Hematoxylin and eosin stain · 20× magnification · 14 tiles from the same stomach biopsy slide · 300 × 300 pixels each.
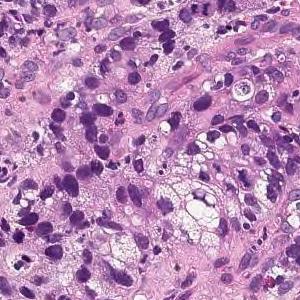
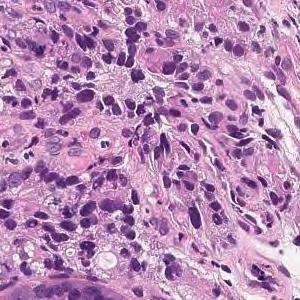
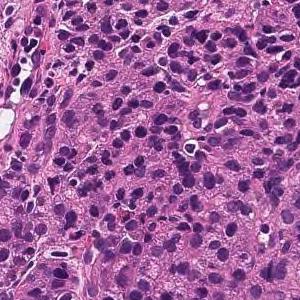
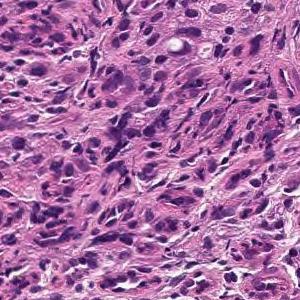
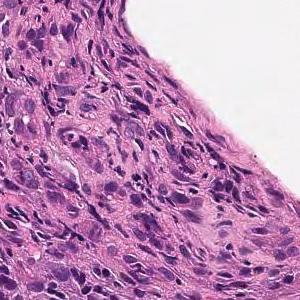
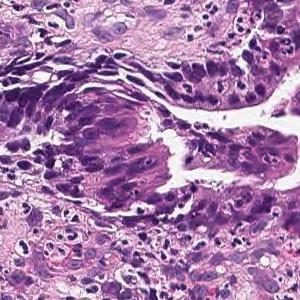
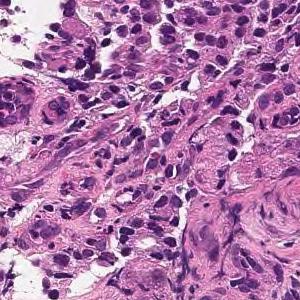
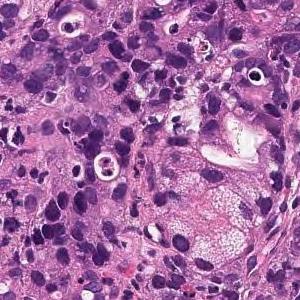
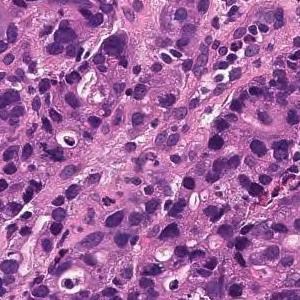
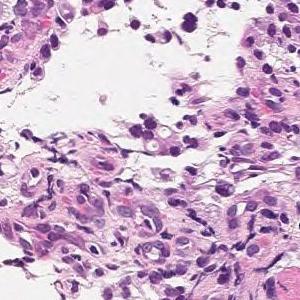
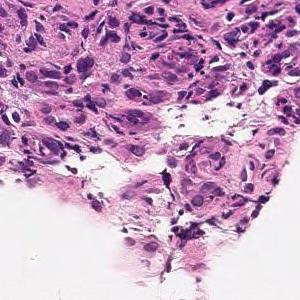
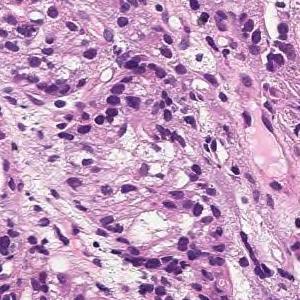
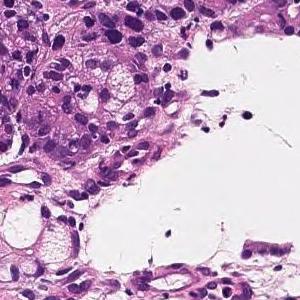
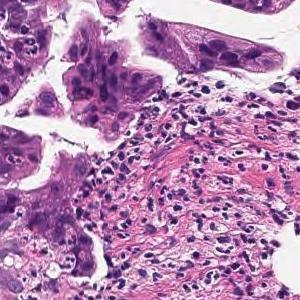
Diagnostic report for the slide these tiles come from. The report describes the whole slide, diagnosis included: not every finding it names need appear in these tiles, which may also show non-tumor tissue.
In the superficial epithelium, medium to small irregular gland ducts are formed, and in some cases, the ducts are fused to show solid alveolar lesions and infiltrating tumor tissue is observed. moderately differentiated tubular adenocarcinoma or poorly differentiated adenocarcinoma, solid-type (poorly differentiated adenocarcinoma, solid type)
Labeled in the dataset as poorly differentiated adenocarcinoma, solid type. This name comes from the Japanese Classification of Gastric Carcinoma; the WHO 2019 classification calls it tubular adenocarcinoma, poorly differentiated.
